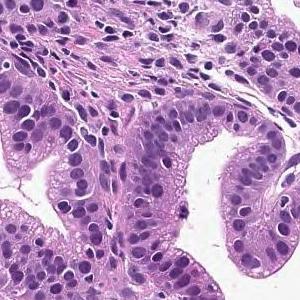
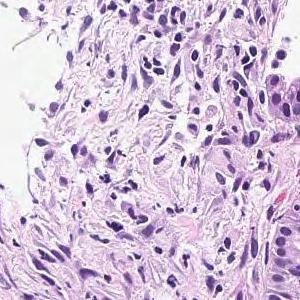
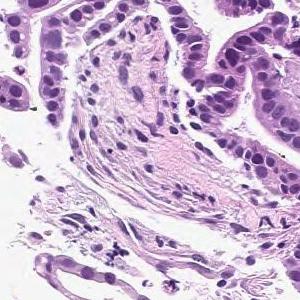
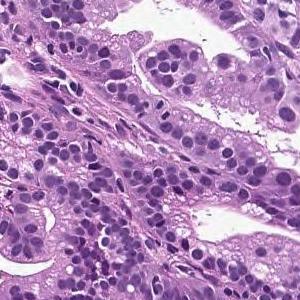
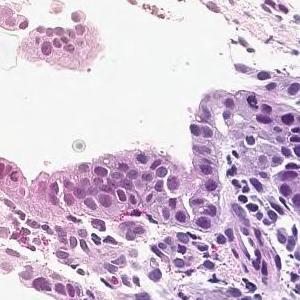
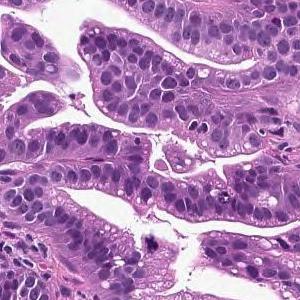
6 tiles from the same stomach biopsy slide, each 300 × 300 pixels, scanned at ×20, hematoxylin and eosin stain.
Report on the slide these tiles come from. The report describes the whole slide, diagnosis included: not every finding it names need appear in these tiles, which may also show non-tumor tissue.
On the superficial epithelium, tumor tissue that infiltrates by forming medium-sized papillary or small irregular ducts is observed. Papillary adenocarcinoma
